6 tiles from the same stomach biopsy slide · scanned at ×20 · H&E.
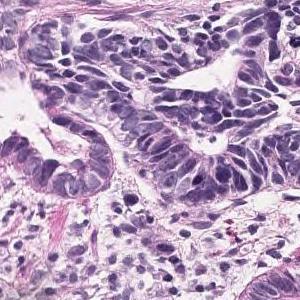
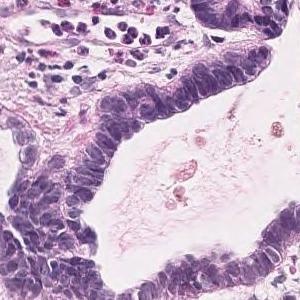
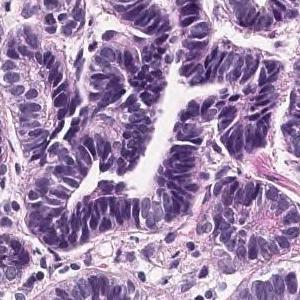
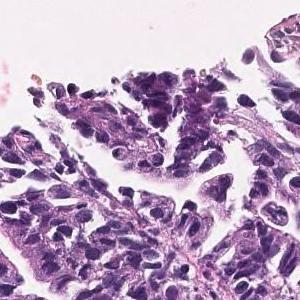
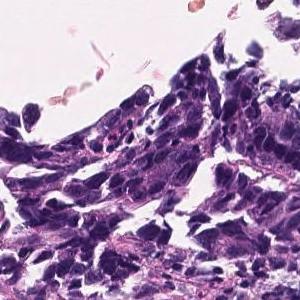
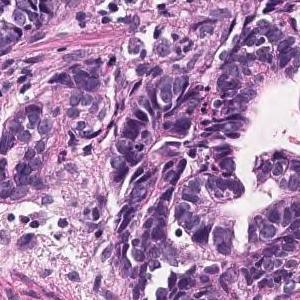
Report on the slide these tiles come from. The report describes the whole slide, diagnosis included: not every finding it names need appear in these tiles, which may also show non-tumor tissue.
In the superficial epithelium, tumor tissue that invades by forming medium-sized to small, irregular ducts is observed. Well differentiated tubular adenocarcinoma.
